15 tiles from the same stomach biopsy slide, 300×300 px each, H&E.
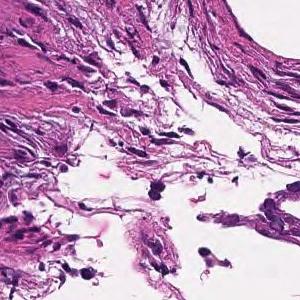
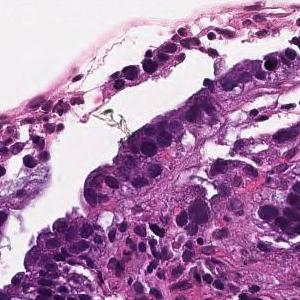
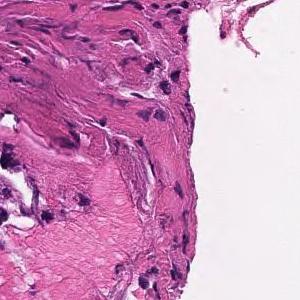
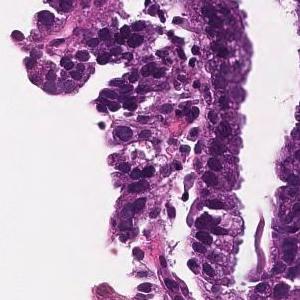
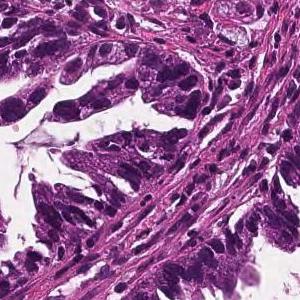
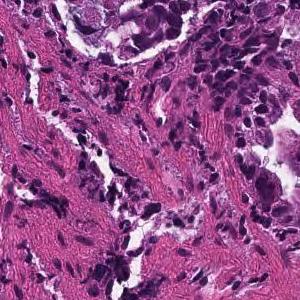
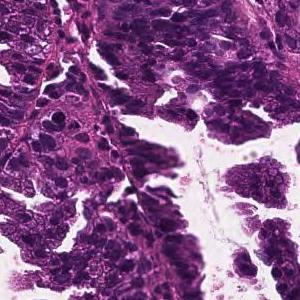
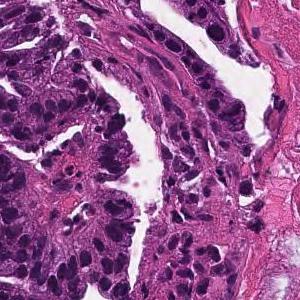
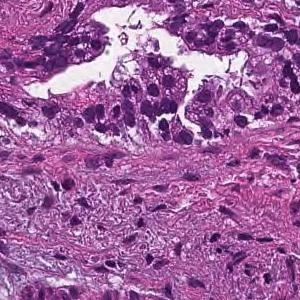
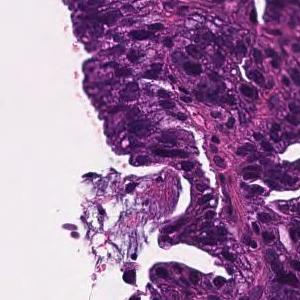
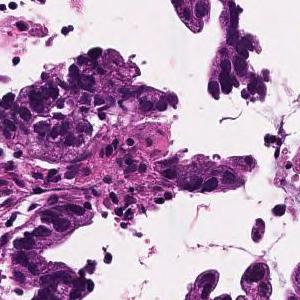
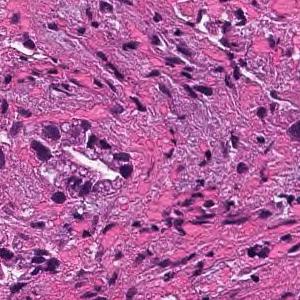
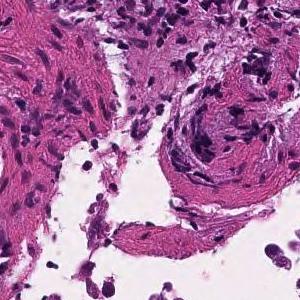
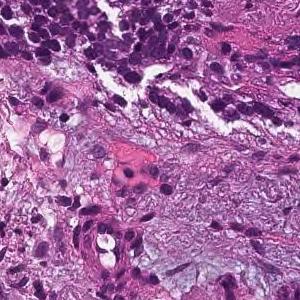
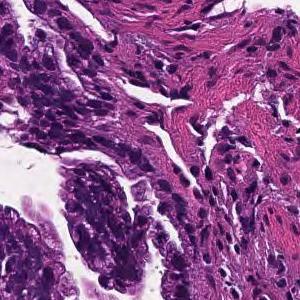
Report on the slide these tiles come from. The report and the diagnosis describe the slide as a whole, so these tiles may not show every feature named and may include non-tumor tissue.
Tumor cells are large, highly columnar, large club-shaped nuclei, and are associated with chromatin aggregation. Papillary adenocarcinoma.
